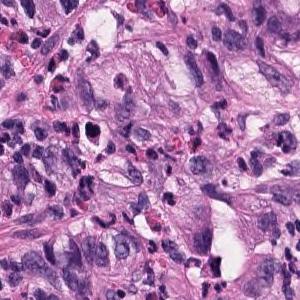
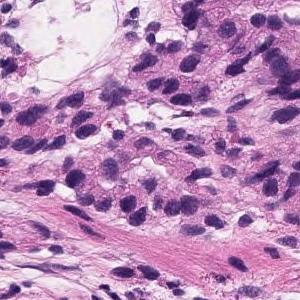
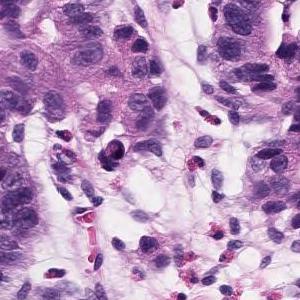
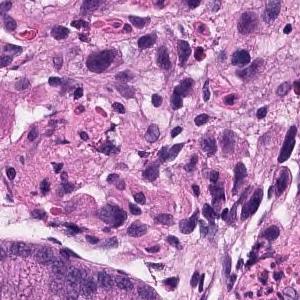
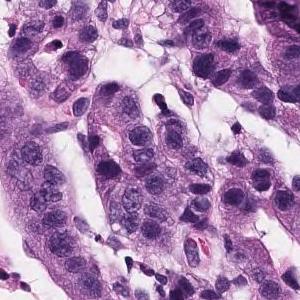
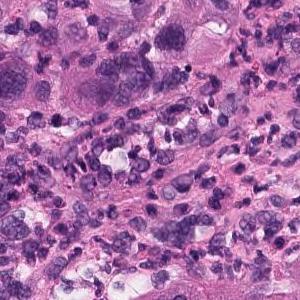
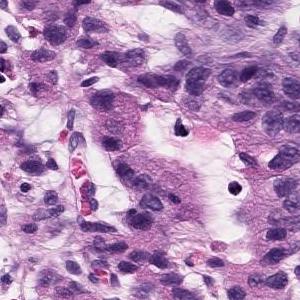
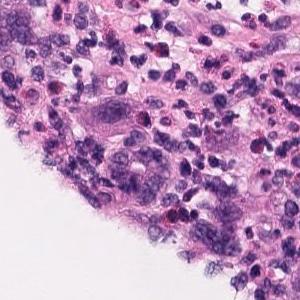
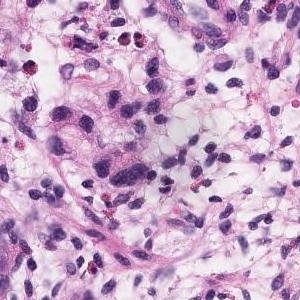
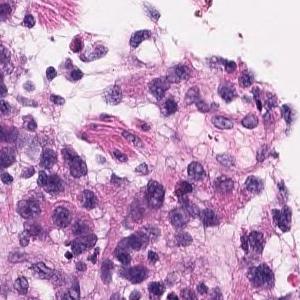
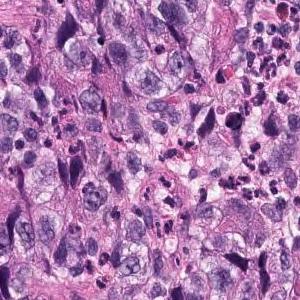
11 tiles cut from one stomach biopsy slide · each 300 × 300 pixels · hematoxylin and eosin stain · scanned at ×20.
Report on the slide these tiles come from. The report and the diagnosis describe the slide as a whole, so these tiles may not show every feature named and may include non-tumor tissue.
Atypical l cells with atypical nuclei forming diffuse or small irregular atypical ducts and growing. Moderately to poorly differentiated adenocarcinoma (poorly differentiated adenocarcinoma, solid type, moderately differentiated tubular adenocarcinoma)
Tumor subtype: moderately to poorly differentiated adenocarcinoma.
The solid type named here is a Japanese Classification of Gastric Carcinoma category; WHO 2019 calls it tubular adenocarcinoma, poorly differentiated.
